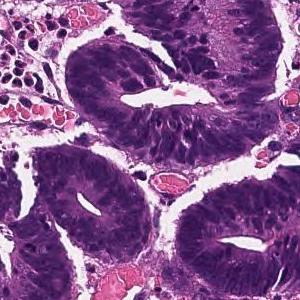
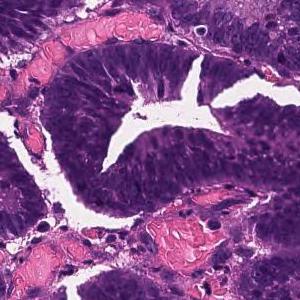
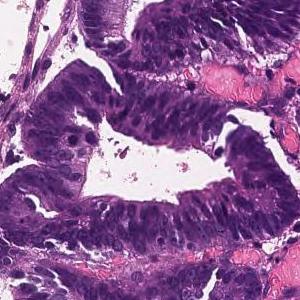
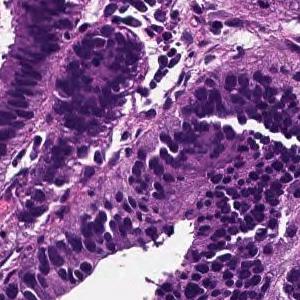
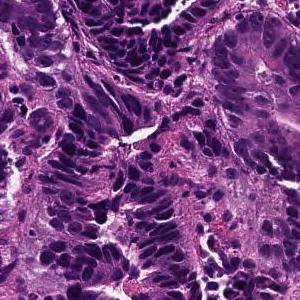
5 tiles from the same stomach biopsy slide, 300×300 px each, scanned at ×20.
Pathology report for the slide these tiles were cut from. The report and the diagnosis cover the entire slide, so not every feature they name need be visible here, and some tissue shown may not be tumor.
Tumor tissue consisting of large papillary structures is found in the superficial epithelium. Papillary adenocarcinoma.
